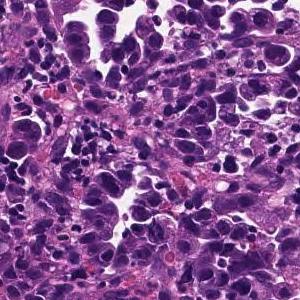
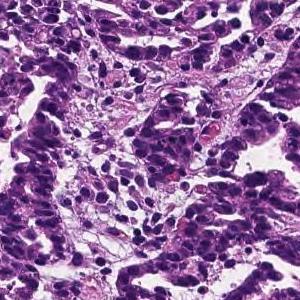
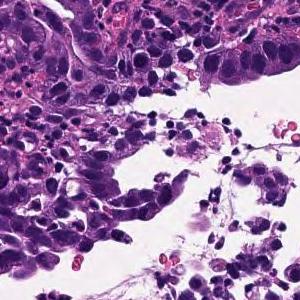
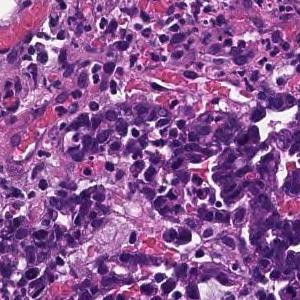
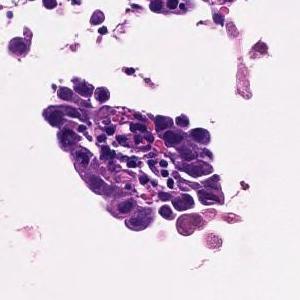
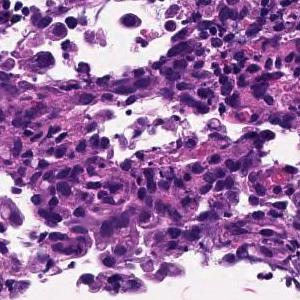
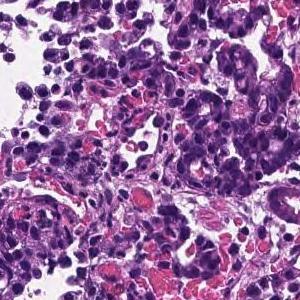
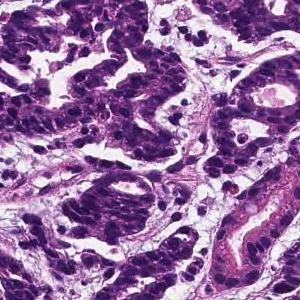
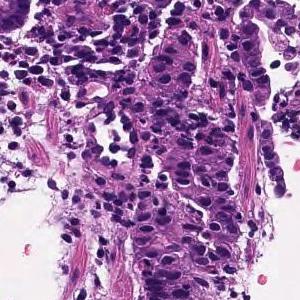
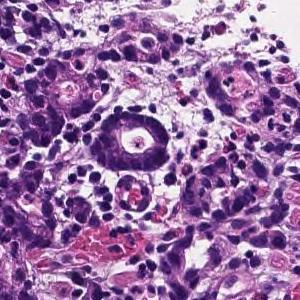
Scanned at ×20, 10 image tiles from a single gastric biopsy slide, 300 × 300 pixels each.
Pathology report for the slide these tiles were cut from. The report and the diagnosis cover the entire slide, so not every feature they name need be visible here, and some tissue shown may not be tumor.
In the superficial epithelium, tumor tissue that invades by forming medium-sized to small, irregular ducts is observed. moderately differentiated tubular adenocarcinoma.
